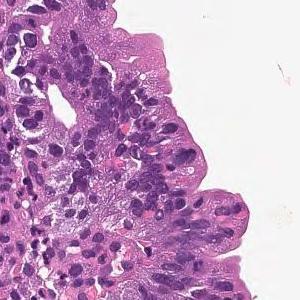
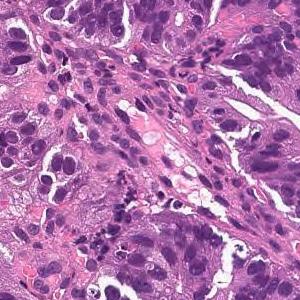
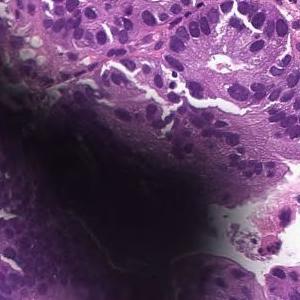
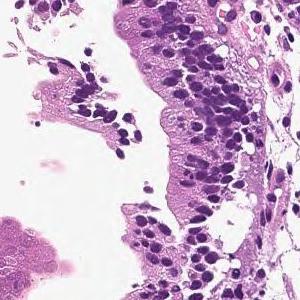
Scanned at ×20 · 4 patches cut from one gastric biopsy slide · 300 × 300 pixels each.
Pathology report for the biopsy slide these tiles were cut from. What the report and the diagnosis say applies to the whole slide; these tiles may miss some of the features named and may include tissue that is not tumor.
From the superficial epithelium to the muscularis mucosae, tumor tissue consisting of medium-sized and irregular glandular ducts infiltrating is observed. Well differentiated tubular adenocarcinoma
